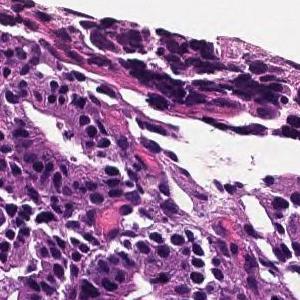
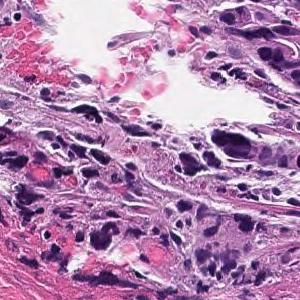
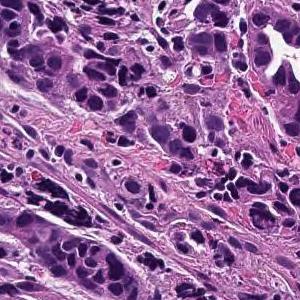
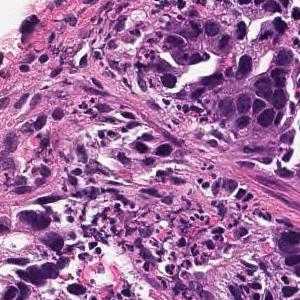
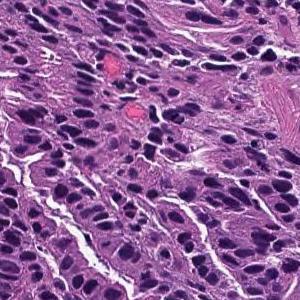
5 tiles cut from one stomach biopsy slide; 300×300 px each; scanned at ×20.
Pathology report for the biopsy slide these tiles were cut from. The report and the diagnosis cover the entire slide, so not every feature they name need be visible here, and some tissue shown may not be tumor.
In the superficial epithelium, tumor tissue that invades by forming medium-sized to small, irregular ducts is observed. moderately differentiated tubular adenocarcinoma.
